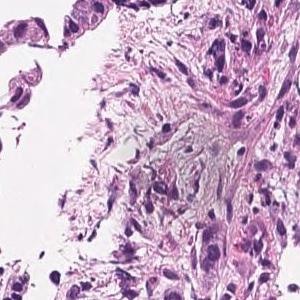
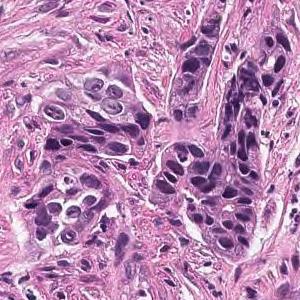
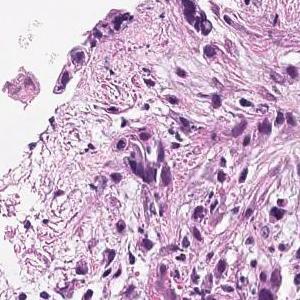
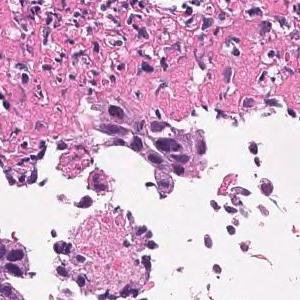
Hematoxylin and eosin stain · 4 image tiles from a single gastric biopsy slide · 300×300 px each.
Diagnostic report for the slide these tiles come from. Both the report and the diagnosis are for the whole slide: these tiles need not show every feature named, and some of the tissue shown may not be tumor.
Tumor cells are large, highly columnar, large club-shaped nuclei, and are associated with chromatin aggregation. Papillary adenocarcinoma.
